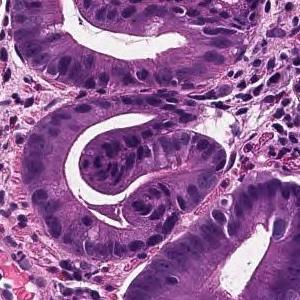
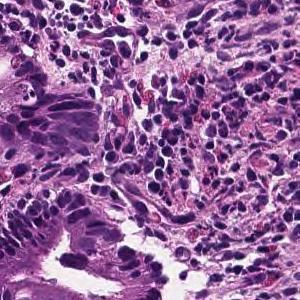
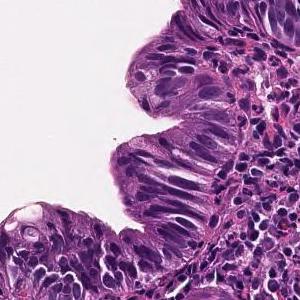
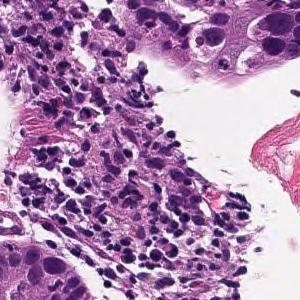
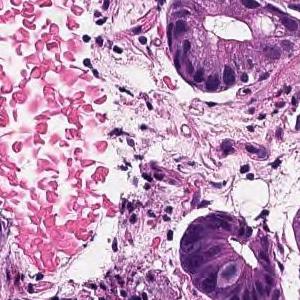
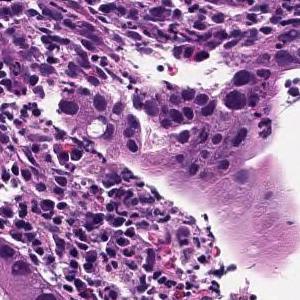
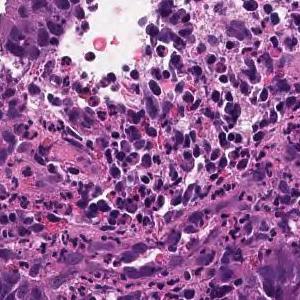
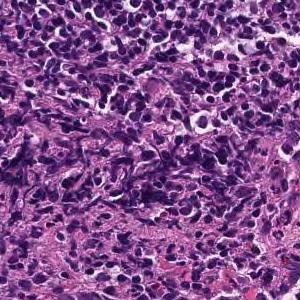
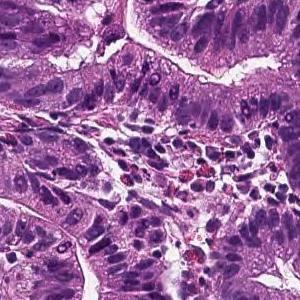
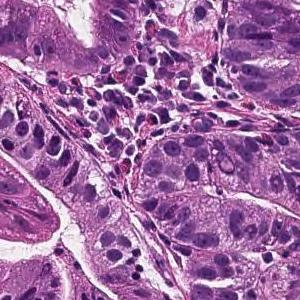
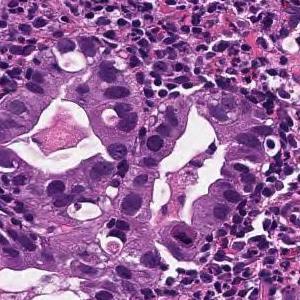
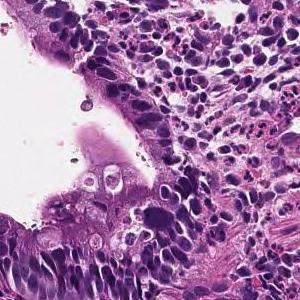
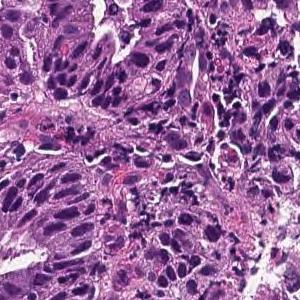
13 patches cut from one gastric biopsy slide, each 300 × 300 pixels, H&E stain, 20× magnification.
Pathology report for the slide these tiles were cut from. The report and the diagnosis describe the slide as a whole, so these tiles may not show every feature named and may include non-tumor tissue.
From the superficial epithelium to the muscularis mucosae, tumor tissue consisting of medium-sized and irregular glandular ducts infiltrating is observed. Well differentiated tubular adenocarcinoma
